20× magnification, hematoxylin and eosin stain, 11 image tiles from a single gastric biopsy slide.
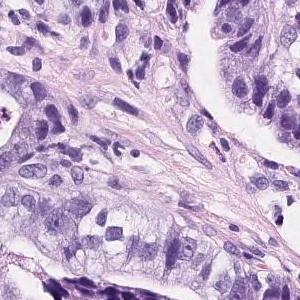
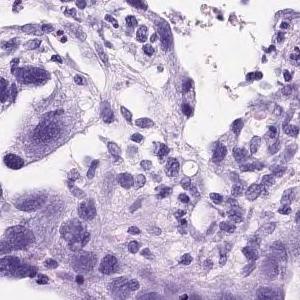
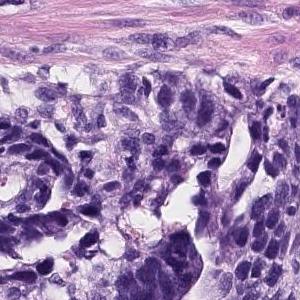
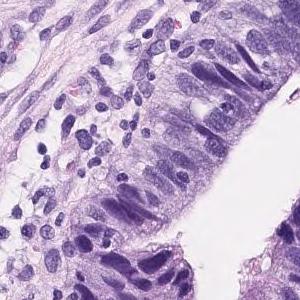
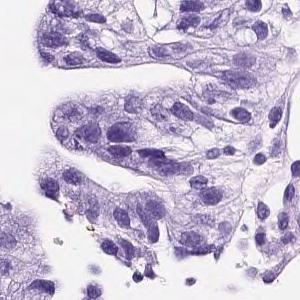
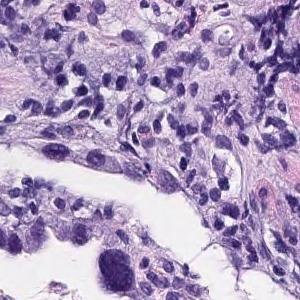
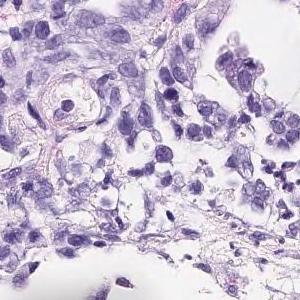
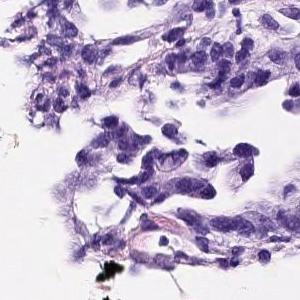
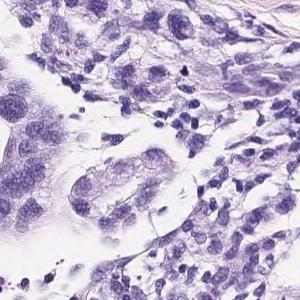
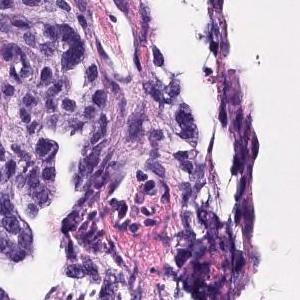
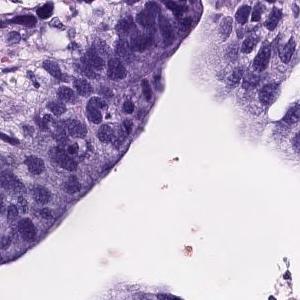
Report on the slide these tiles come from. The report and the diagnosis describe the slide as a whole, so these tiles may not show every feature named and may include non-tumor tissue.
On the superficial epithelium, tumor tissue consisting of medium to small irregular tubules partially fused and proliferated is observed. moderately differentiated tubular adenocarcinoma
